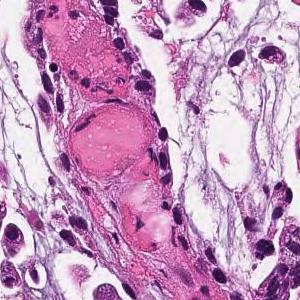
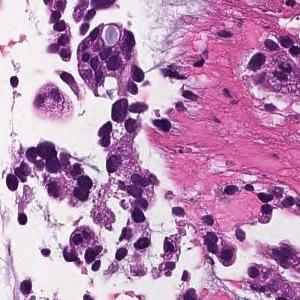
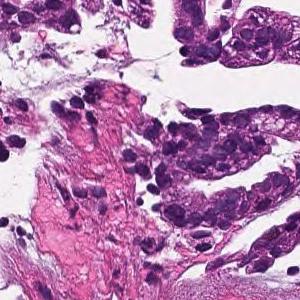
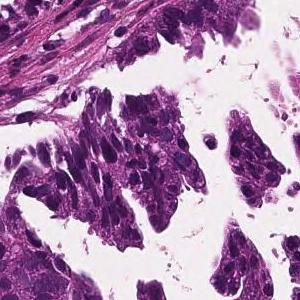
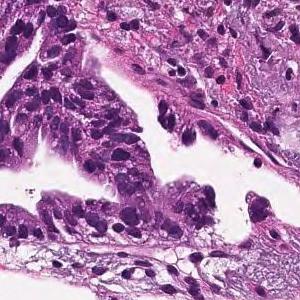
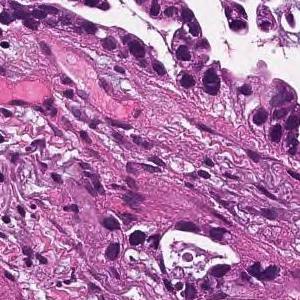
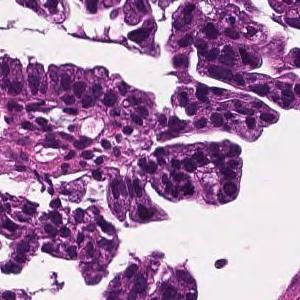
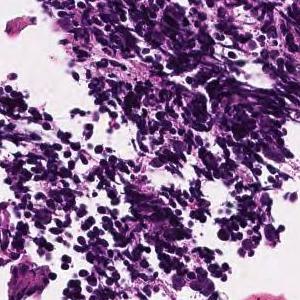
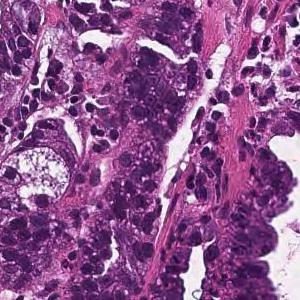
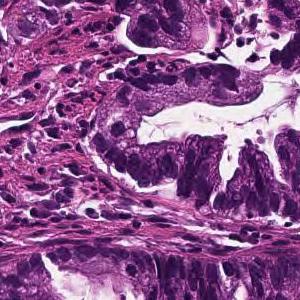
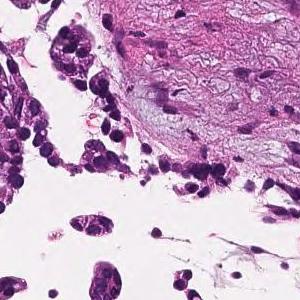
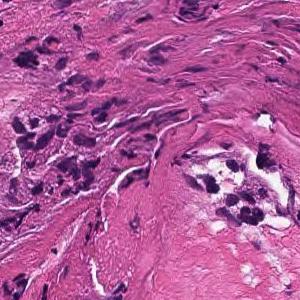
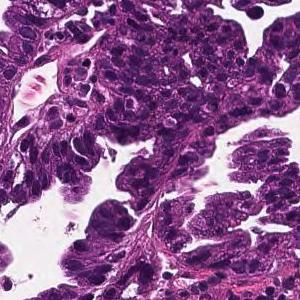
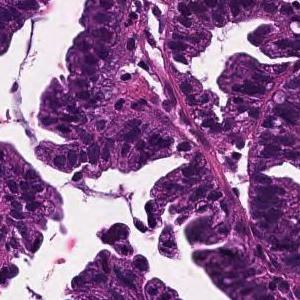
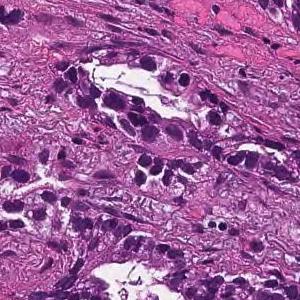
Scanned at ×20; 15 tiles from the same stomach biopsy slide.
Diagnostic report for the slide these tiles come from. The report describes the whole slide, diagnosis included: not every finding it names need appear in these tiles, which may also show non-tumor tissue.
Tumor cells are large, highly columnar, large club-shaped nuclei, and are associated with chromatin aggregation. Papillary adenocarcinoma.
